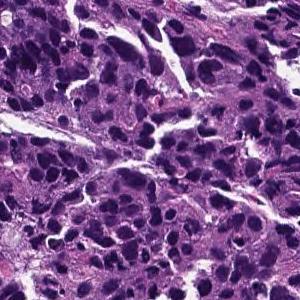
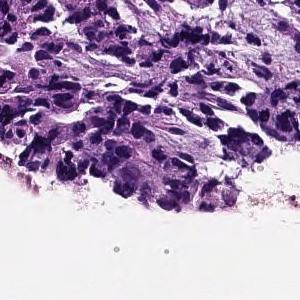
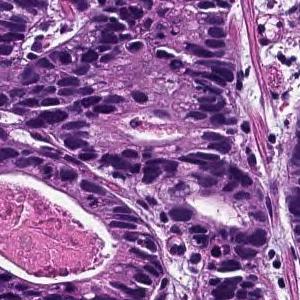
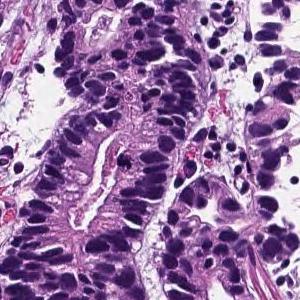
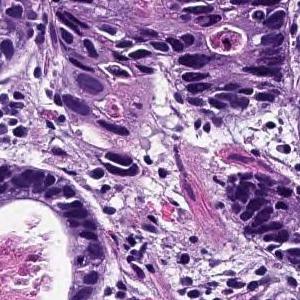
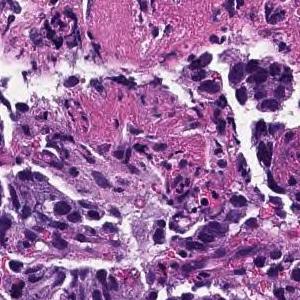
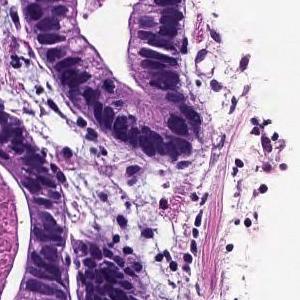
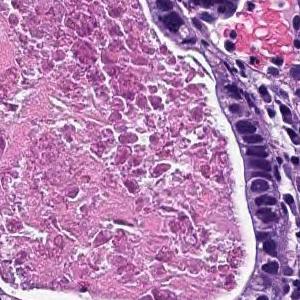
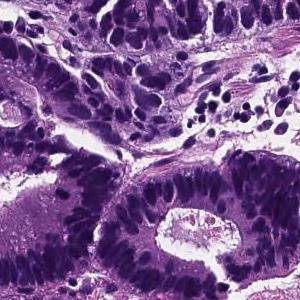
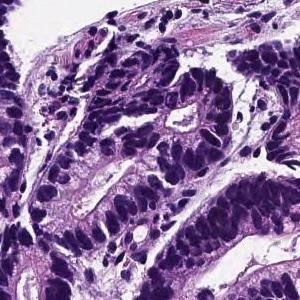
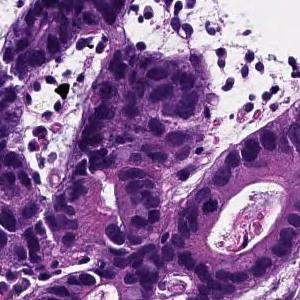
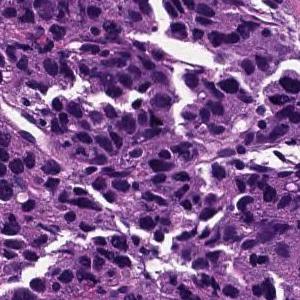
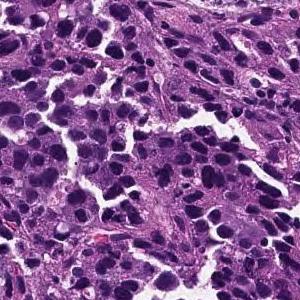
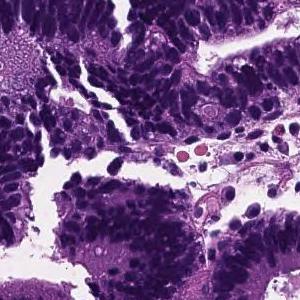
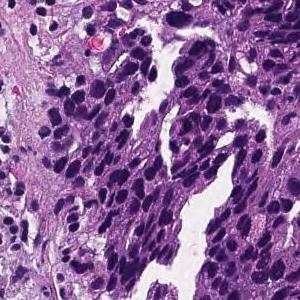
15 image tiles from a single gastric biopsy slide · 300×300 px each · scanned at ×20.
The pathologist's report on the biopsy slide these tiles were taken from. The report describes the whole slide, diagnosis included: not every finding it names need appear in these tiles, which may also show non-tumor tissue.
From the superficial epithelium to the muscularis mucosae, tumor tissue consisting of medium-sized and irregular glandular ducts infiltrating is observed. Well differentiated tubular adenocarcinoma
